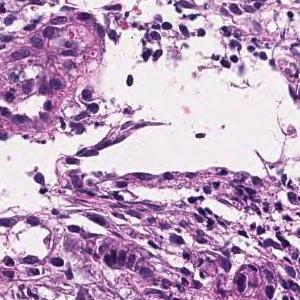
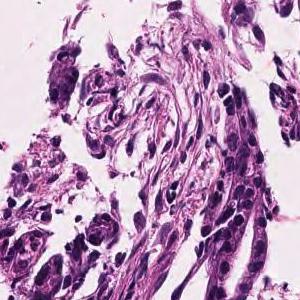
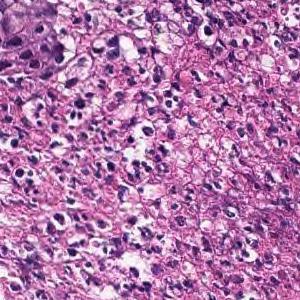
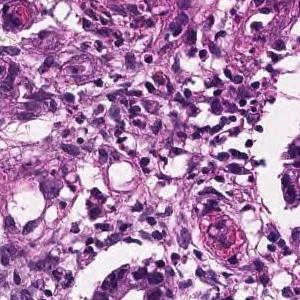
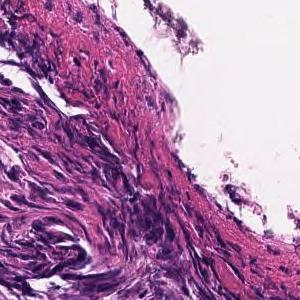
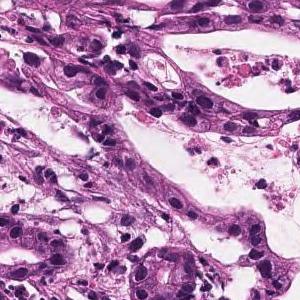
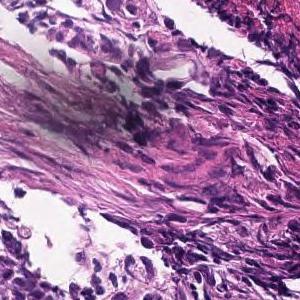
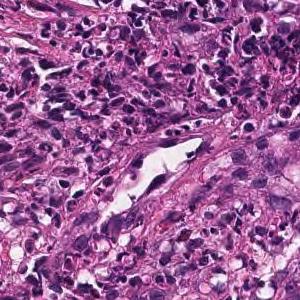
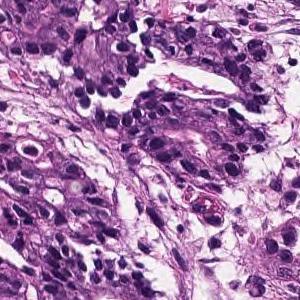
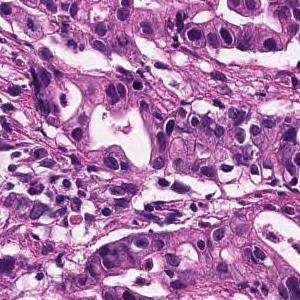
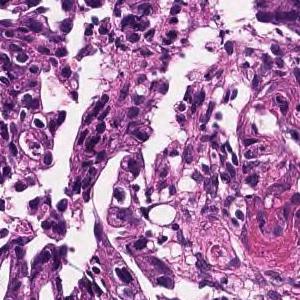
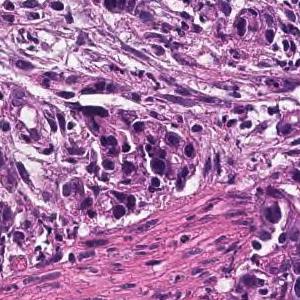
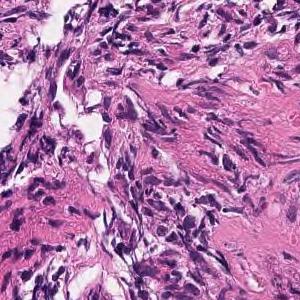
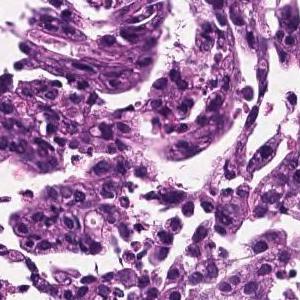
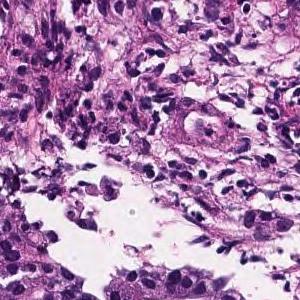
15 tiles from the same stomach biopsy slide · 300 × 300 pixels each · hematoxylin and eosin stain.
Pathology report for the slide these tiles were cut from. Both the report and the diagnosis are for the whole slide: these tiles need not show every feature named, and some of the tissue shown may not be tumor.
In the superficial epithelium, medium to small, irregular gland ducts are formed, and in some cases, the gland ducts are fused to show solid alveolar lesions and infiltrating tumor tissue is observed. Moderately to poorly differentiated adenocarcinoma.
